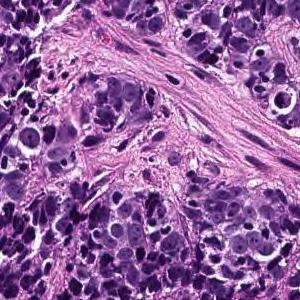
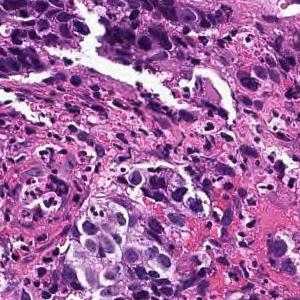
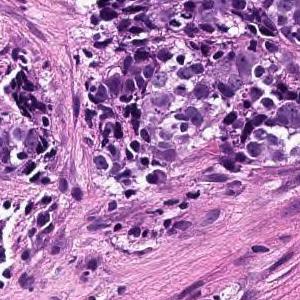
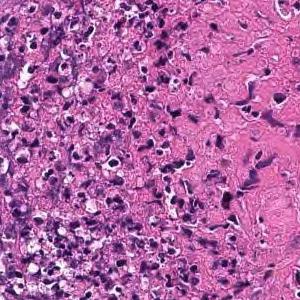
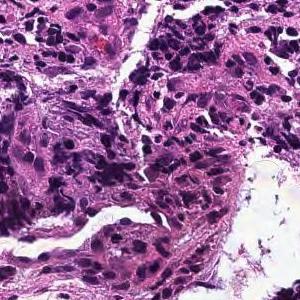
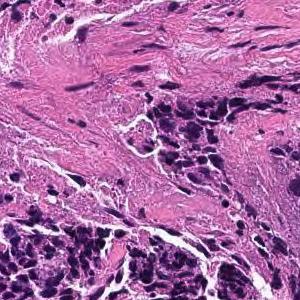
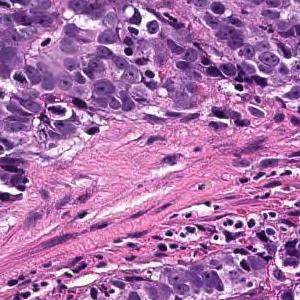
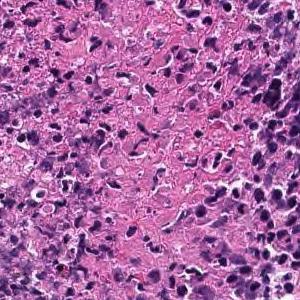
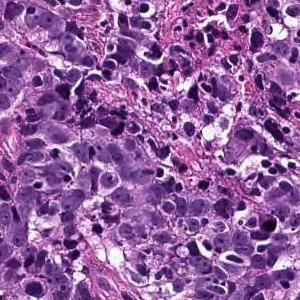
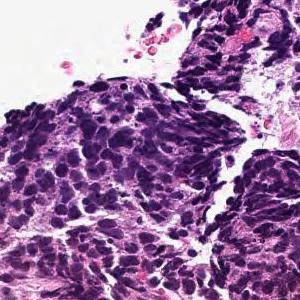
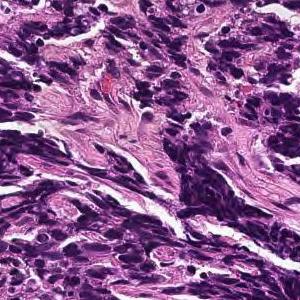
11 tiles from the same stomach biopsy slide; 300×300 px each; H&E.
The pathologist's report on the biopsy slide these tiles were taken from. The report and the diagnosis describe the slide as a whole, so these tiles may not show every feature named and may include non-tumor tissue.
The superficial epithelium shows a large sheet or alveolar shape, and tumor tissue infiltrating without irregular ducts is observed. Poorly differentiated adenocarcinoma, solid-type
Classified as poorly differentiated adenocarcinoma, solid type, a category of the Japanese Classification of Gastric Carcinoma; in the WHO 2019 classification it is tubular adenocarcinoma, poorly differentiated.
